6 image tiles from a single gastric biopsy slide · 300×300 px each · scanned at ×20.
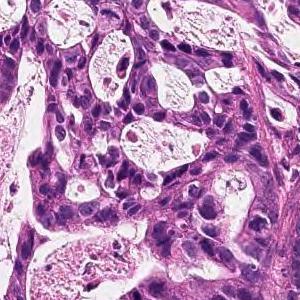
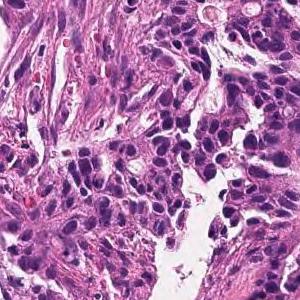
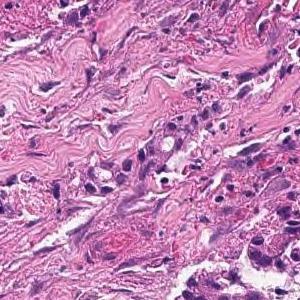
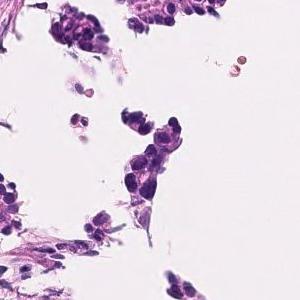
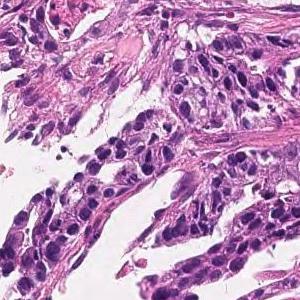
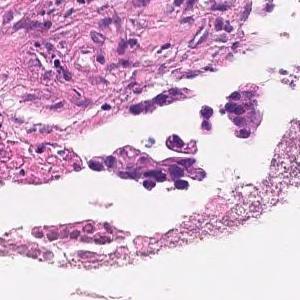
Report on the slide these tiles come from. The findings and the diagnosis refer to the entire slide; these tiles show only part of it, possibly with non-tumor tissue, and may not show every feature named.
On the superficial epithelium, tumor tissue consisting of images of small to medium-sized and irregular tubules infiltrating with irregular fusion is observed. moderately differentiated tubular adenocarcinoma
